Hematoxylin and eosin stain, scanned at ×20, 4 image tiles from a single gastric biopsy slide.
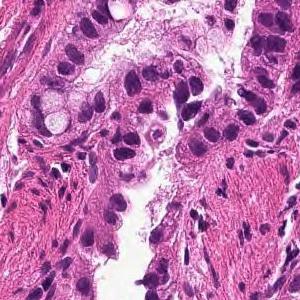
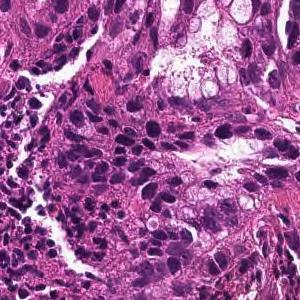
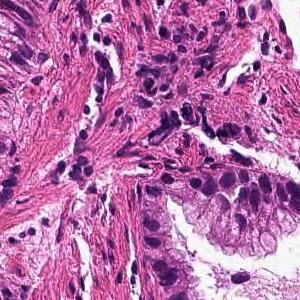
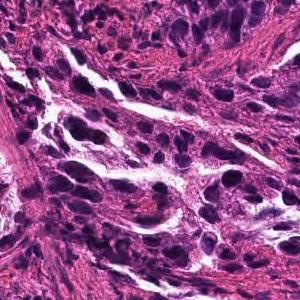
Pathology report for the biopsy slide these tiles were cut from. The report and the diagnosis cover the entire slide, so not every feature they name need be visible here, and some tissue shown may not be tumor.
From the superficial epithelium to the muscularis mucosae, tumor tissue infiltrating by forming medium-sized irregular gland ducts is observed. Well differentiated tubular adenocarcinoma
